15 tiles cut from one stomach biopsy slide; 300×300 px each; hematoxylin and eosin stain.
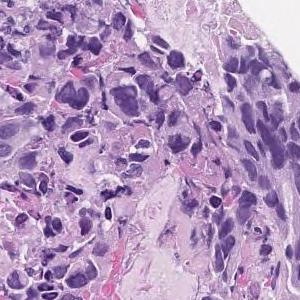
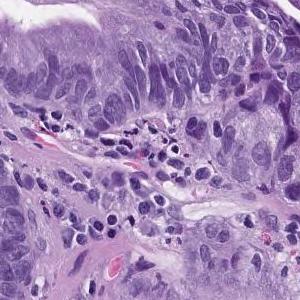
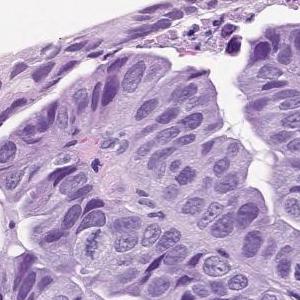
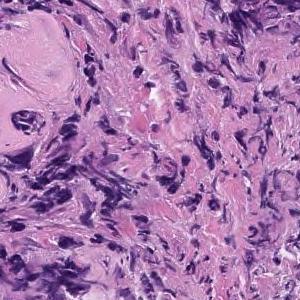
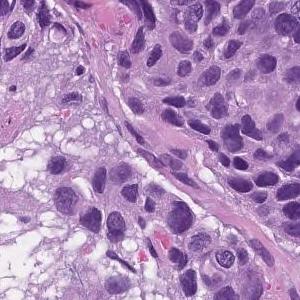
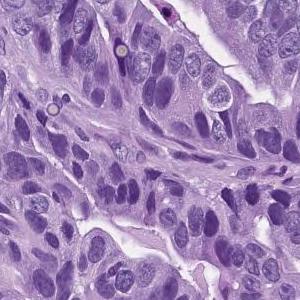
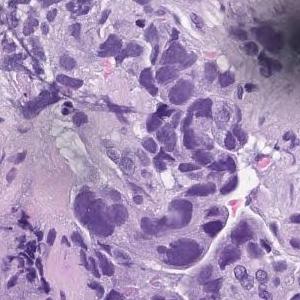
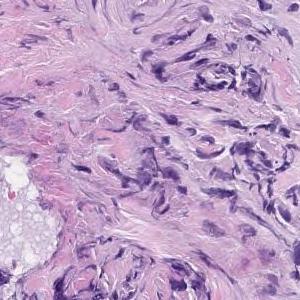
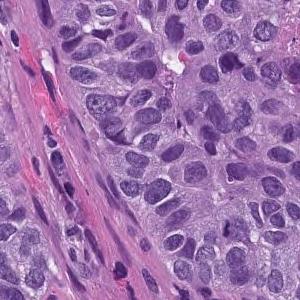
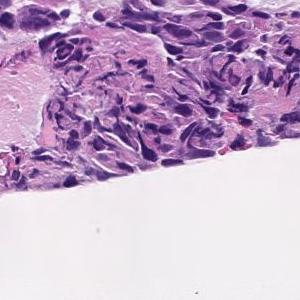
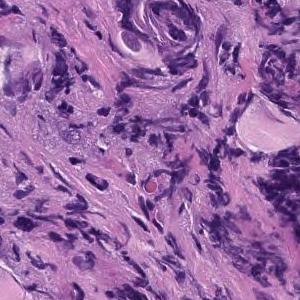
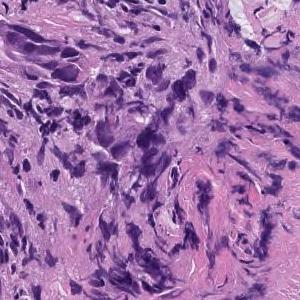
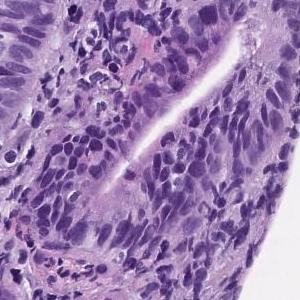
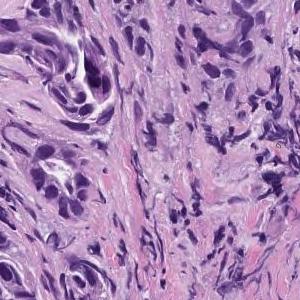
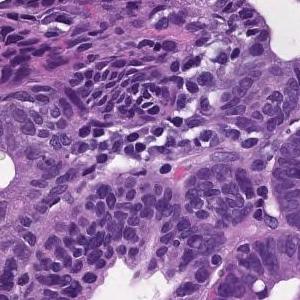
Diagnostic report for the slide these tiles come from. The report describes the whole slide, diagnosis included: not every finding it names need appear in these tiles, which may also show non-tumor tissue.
In the superficial epithelium, tumor tissue that invades by forming medium-sized to small, irregular ducts is observed. moderately differentiated tubular adenocarcinoma.
